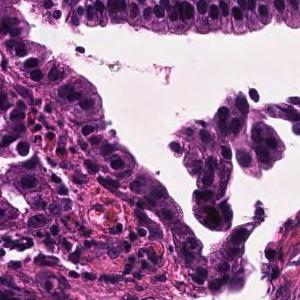
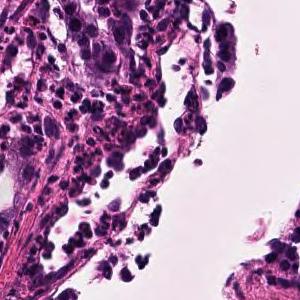
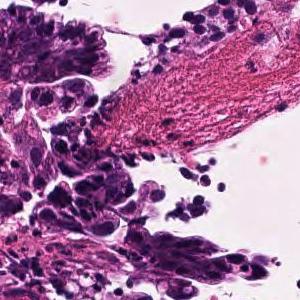
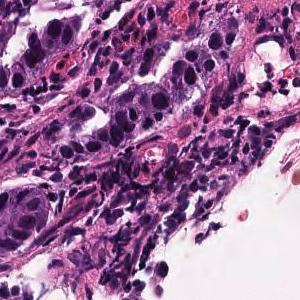
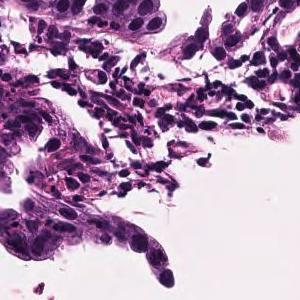
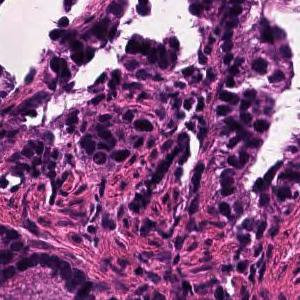
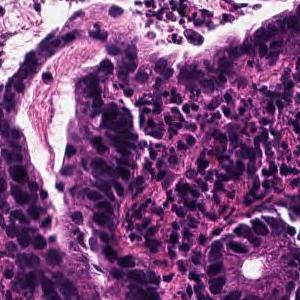
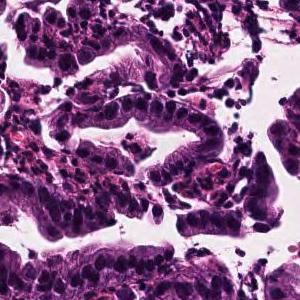
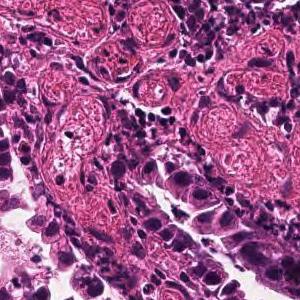
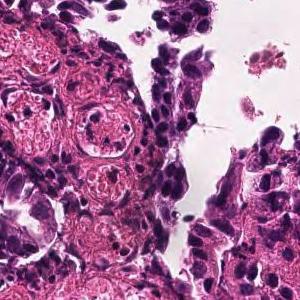
Hematoxylin and eosin stain; 10 tiles cut from one stomach biopsy slide; 300 × 300 pixels each.
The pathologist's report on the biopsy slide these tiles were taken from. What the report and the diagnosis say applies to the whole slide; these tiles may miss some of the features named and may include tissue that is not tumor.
Tumor tissue consisting of large papillary structures is found in the superficial epithelium. Papillary adenocarcinoma.
